11 tiles cut from one stomach biopsy slide · ×20.
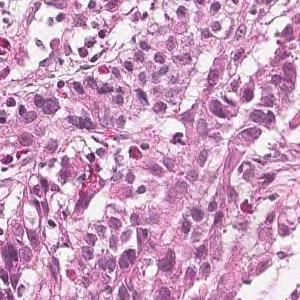
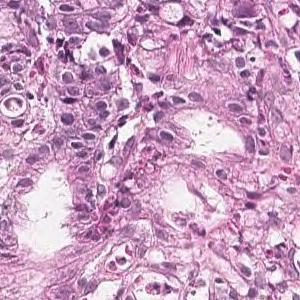
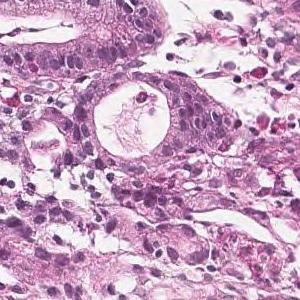
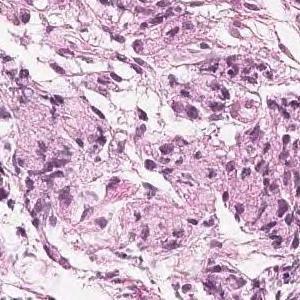
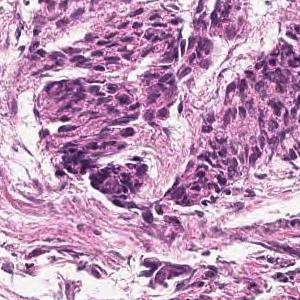
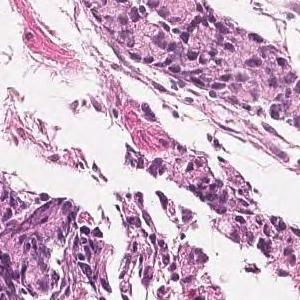
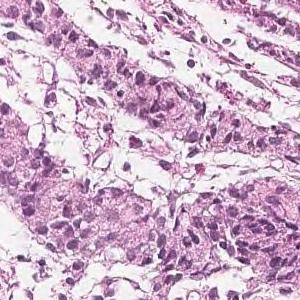
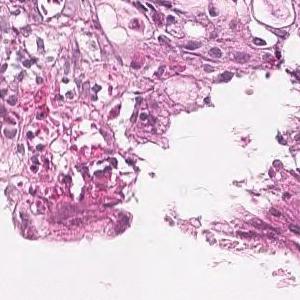
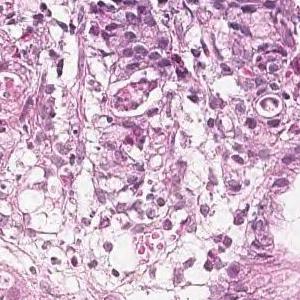
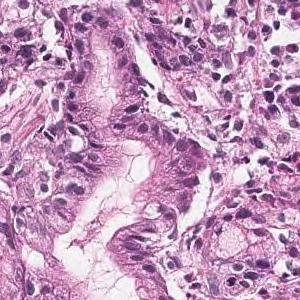
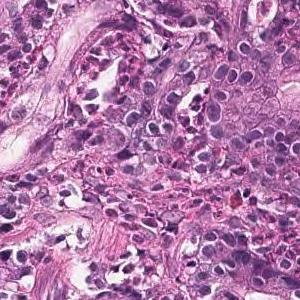
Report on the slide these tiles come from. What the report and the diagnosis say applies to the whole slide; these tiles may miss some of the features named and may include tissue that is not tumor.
Tumor tissue consisting of medium-sized, cord-like or irregular glandular infiltration is observed in the superficial epithelium. Poorly differentiated adenocarcinoma, non-solid type or moderately differentiated tubular adenocarcinoma
The term "non-solid type" comes from the Japanese Classification of Gastric Carcinoma.
